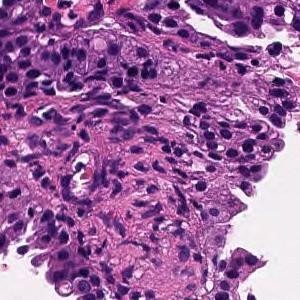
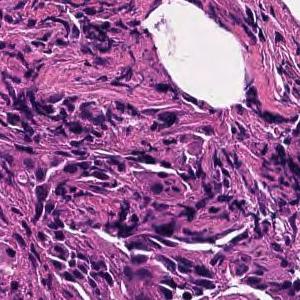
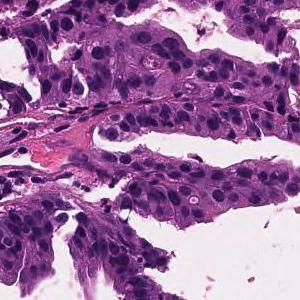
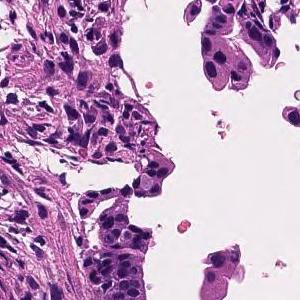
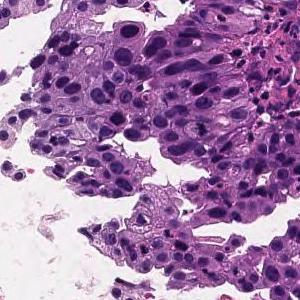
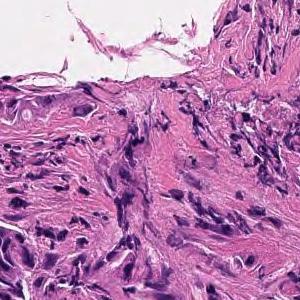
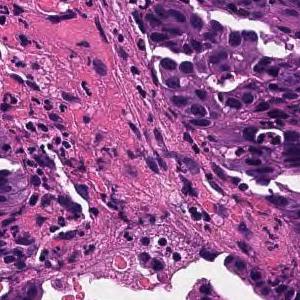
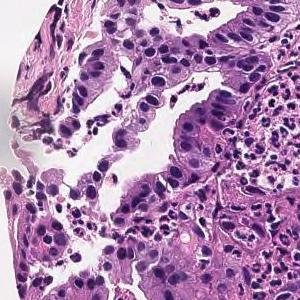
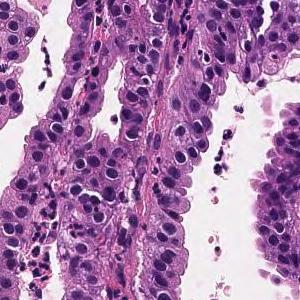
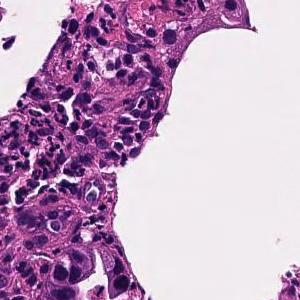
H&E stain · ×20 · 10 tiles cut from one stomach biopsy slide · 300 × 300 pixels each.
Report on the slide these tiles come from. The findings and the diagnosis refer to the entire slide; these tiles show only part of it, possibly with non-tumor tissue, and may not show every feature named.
On the superficial epithelium, tumor tissue consisting of large, irregular glandular ducts partially fused and infiltrated is observed. Well to moderately differentiated tubular adenocarcinoma (well differentiated tubular adenocarcinoma, moderately differentiated tubular adenocarcinoma)
Classified as well to moderately differentiated tubular adenocarcinoma.
